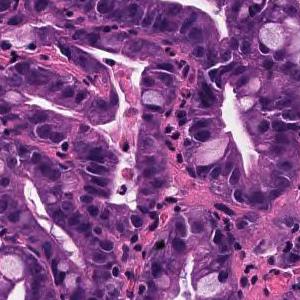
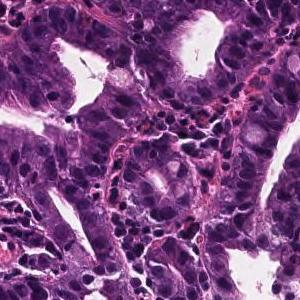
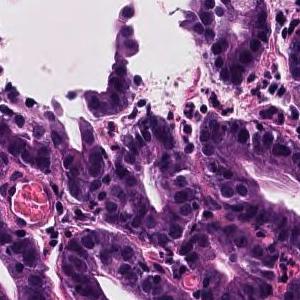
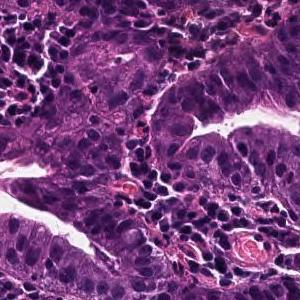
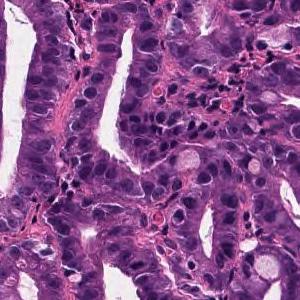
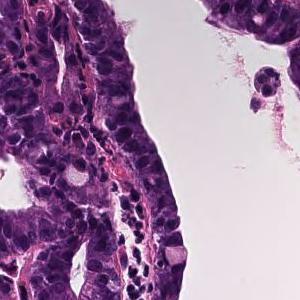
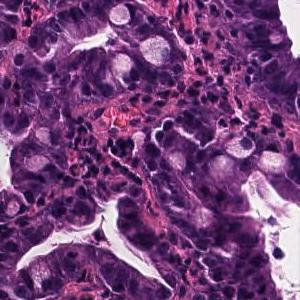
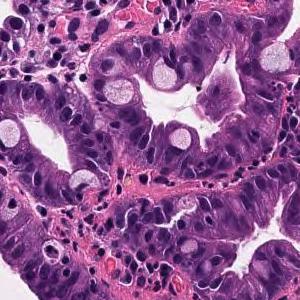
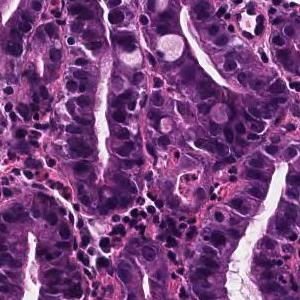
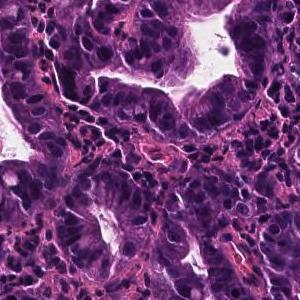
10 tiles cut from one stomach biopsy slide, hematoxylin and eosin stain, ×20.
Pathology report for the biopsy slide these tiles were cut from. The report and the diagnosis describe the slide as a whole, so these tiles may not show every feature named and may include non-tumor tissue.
Atypical tubular proliferation of well to moderately differentiated gastric gland with hyperchromatic nuclei and high N:C ratio. Mitotic figures were also present. These histological findings were suggestive of well to moderately differentiated tubular adenocarcinoma (well differentiated tubular adenocarcinoma, moderately differentiated tubular adenocarcinoma).
Dataset label: well differentiated tubular adenocarcinoma.
